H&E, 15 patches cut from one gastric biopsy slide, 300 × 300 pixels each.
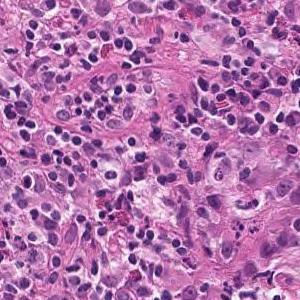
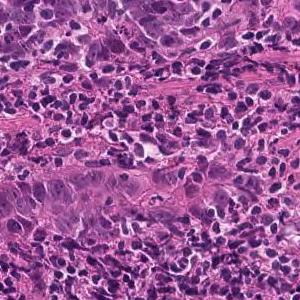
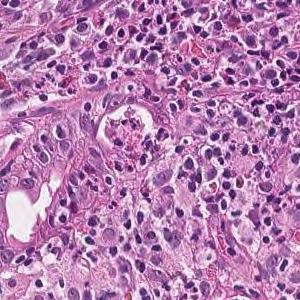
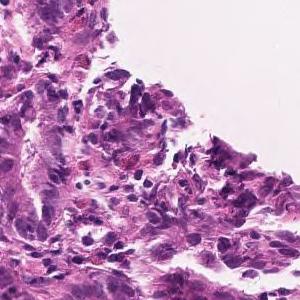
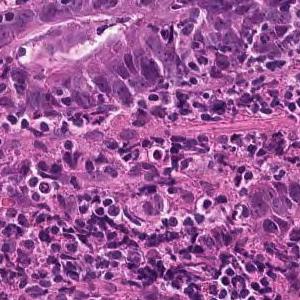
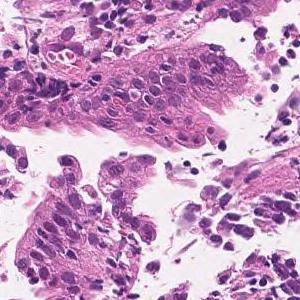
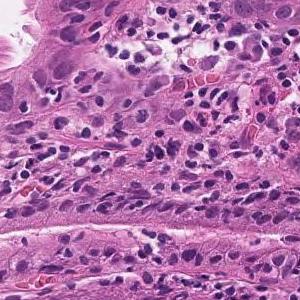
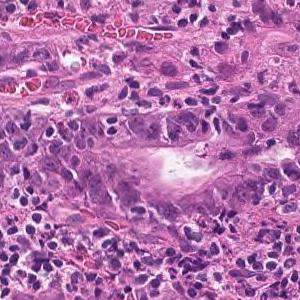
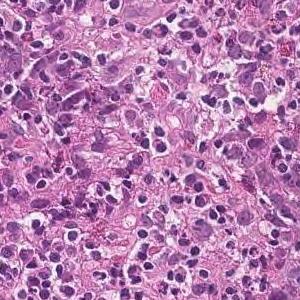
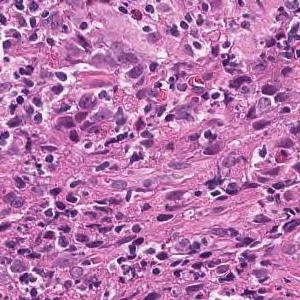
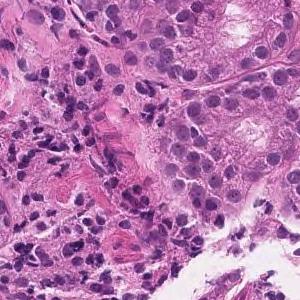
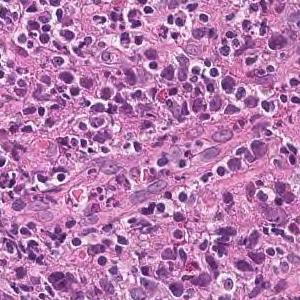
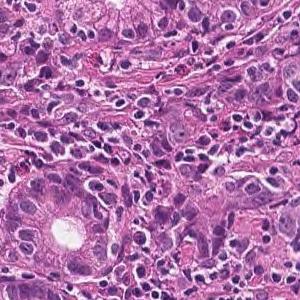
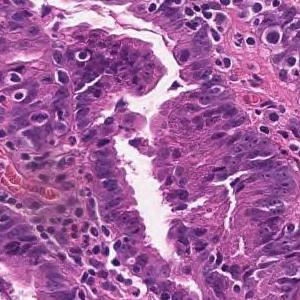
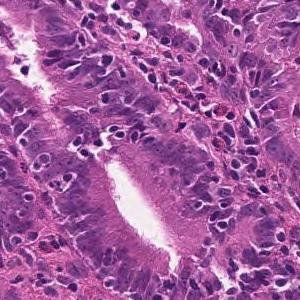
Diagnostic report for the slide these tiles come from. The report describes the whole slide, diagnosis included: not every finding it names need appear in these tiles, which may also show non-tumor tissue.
Tumor tissue consisting of medium-sized, cord-like or irregular glandular infiltration is observed in the superficial epithelium. Poorly differentiated adenocarcinoma, non-solid type or moderately differentiated tubular adenocarcinoma
Dataset label: poorly differentiated adenocarcinoma, non-solid type.
The term "non-solid type" comes from the Japanese Classification of Gastric Carcinoma.
